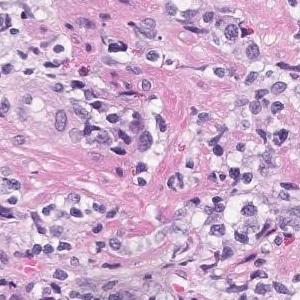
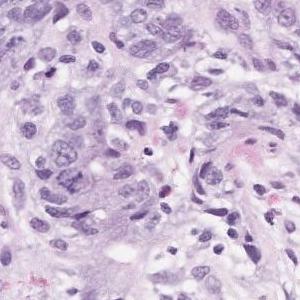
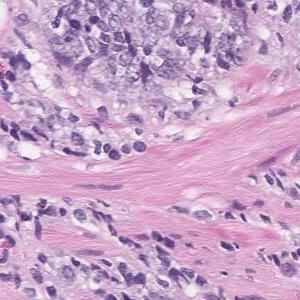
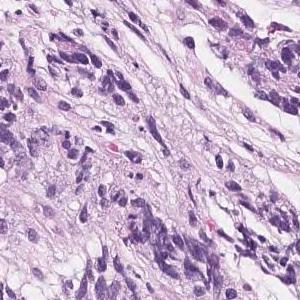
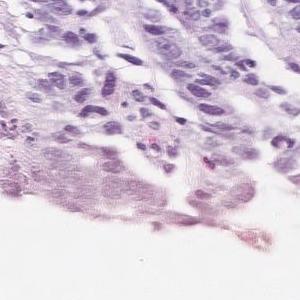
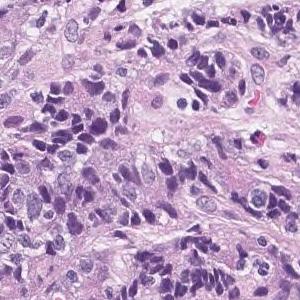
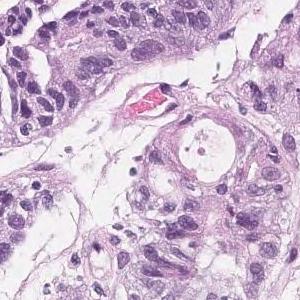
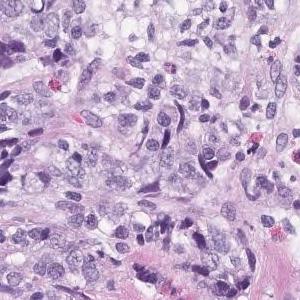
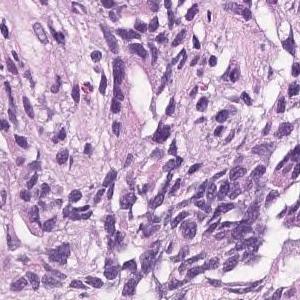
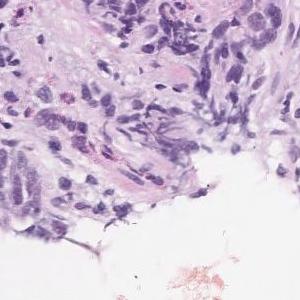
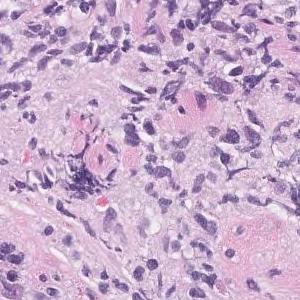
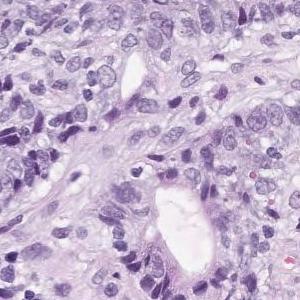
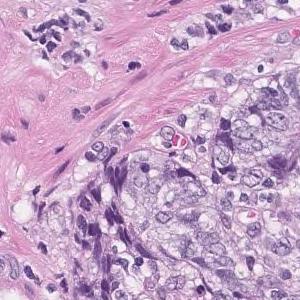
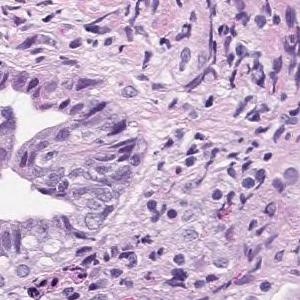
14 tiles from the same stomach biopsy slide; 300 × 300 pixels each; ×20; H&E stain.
Pathology report for the slide these tiles were cut from. The report and the diagnosis cover the entire slide, so not every feature they name need be visible here, and some tissue shown may not be tumor.
Highly columnar epithelium with disordered nuclear localization proliferates showing fusion ductal construction. moderately differentiated tubular adenocarcinoma
